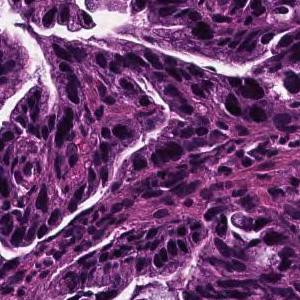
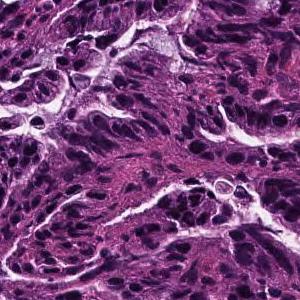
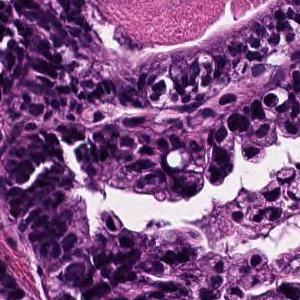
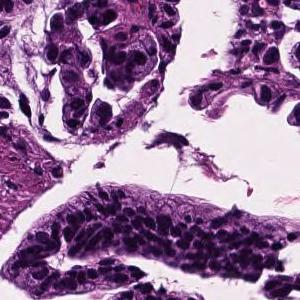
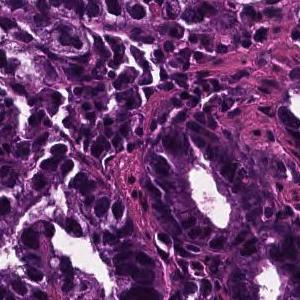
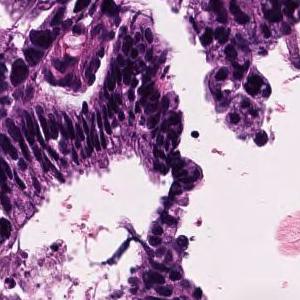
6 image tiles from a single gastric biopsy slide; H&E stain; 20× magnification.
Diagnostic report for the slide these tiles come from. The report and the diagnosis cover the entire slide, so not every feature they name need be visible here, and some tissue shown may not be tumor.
In the superficial epithelium, tumor tissue that invades by forming medium-sized to small, irregular ducts is observed. Well differentiated tubular adenocarcinoma.
